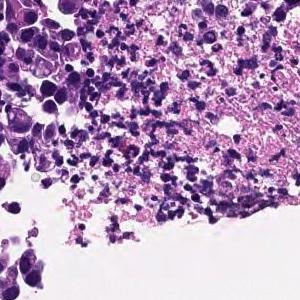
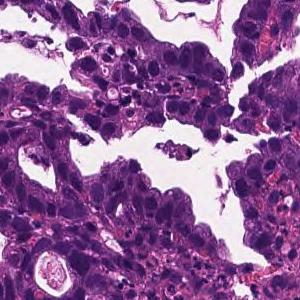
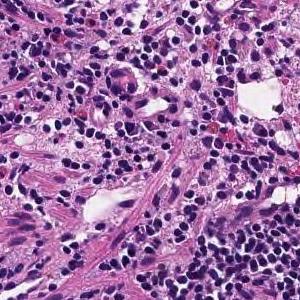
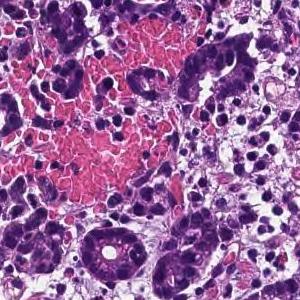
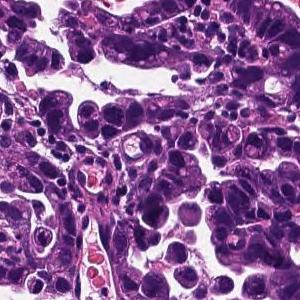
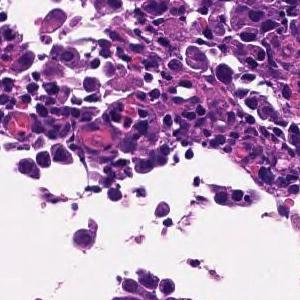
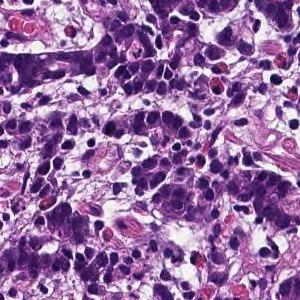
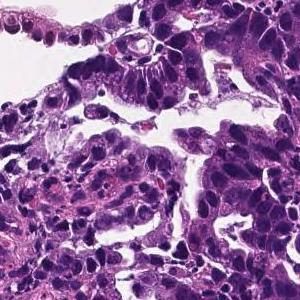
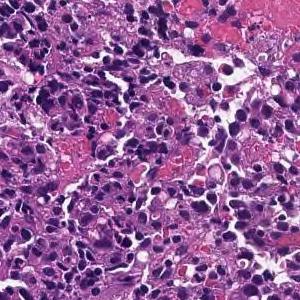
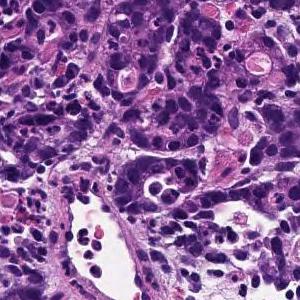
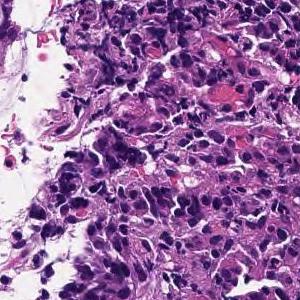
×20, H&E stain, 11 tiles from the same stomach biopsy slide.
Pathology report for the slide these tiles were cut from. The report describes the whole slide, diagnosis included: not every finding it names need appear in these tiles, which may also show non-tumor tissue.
In the superficial epithelium, tumor tissue that invades by forming medium-sized to small, irregular ducts is observed. moderately differentiated tubular adenocarcinoma.
